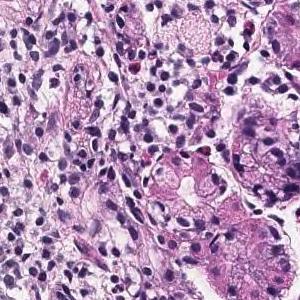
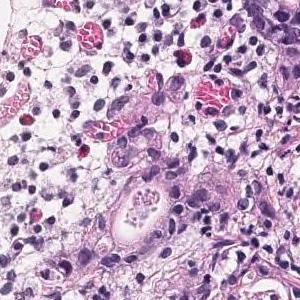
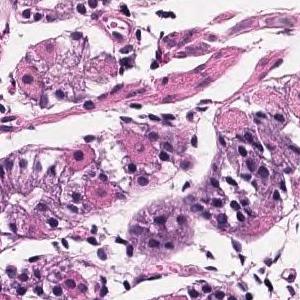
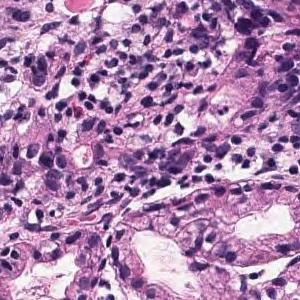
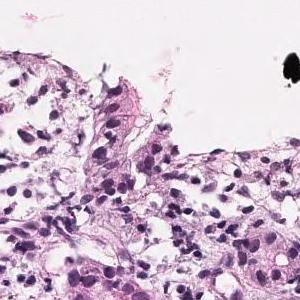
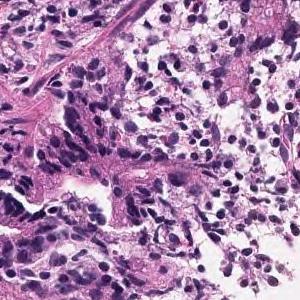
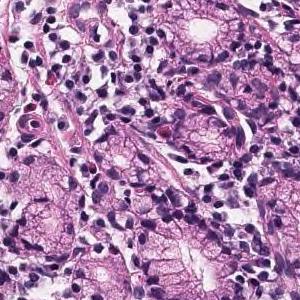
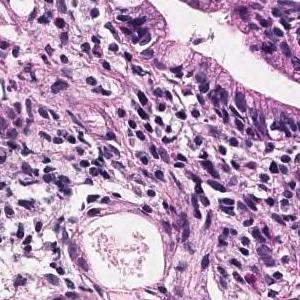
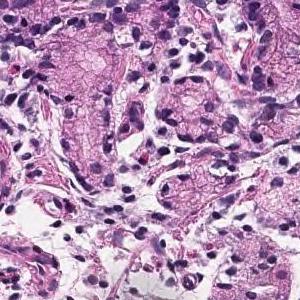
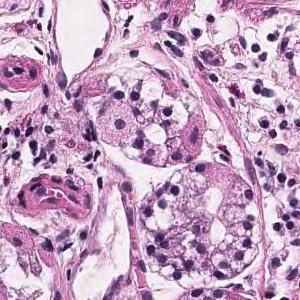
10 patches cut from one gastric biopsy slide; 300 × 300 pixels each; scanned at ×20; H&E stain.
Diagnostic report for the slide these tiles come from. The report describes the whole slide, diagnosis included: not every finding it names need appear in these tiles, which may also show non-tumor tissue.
Tumor tissue that grows and grows is observed, showing a medium-sized round or irregular duct. moderately differentiated tubular adenocarcinoma
